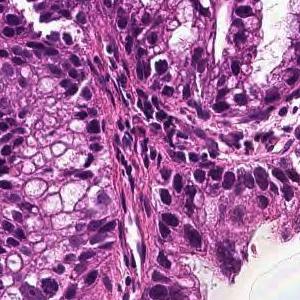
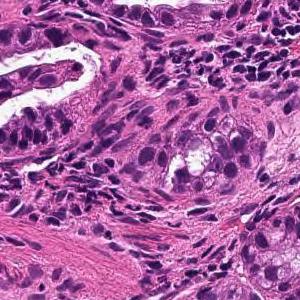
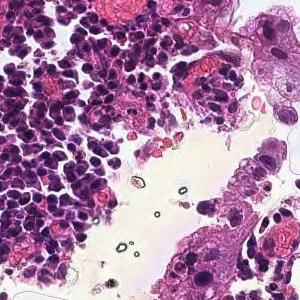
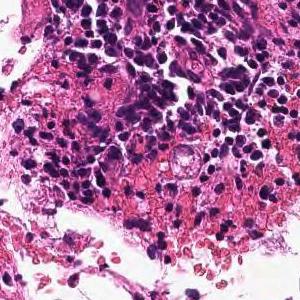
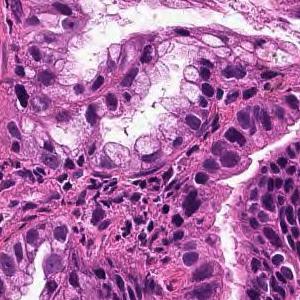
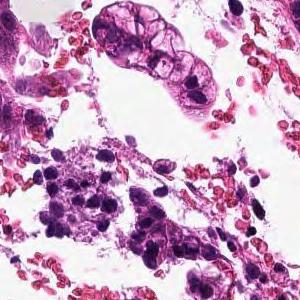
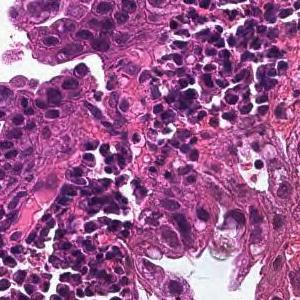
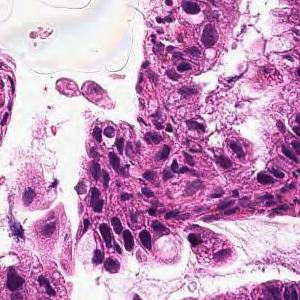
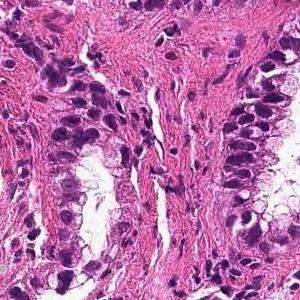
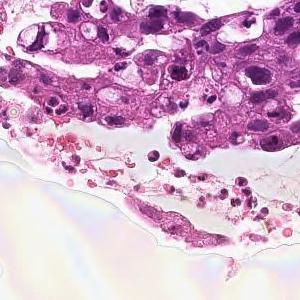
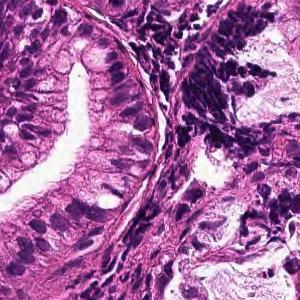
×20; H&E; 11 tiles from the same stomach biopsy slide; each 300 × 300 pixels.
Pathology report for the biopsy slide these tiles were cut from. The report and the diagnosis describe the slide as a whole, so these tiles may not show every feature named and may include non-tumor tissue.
From the superficial epithelium to the muscularis mucosae, tumor tissue infiltrating by forming medium-sized irregular gland ducts is observed. Well differentiated tubular adenocarcinoma
